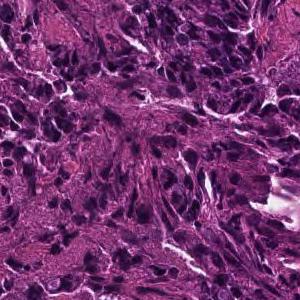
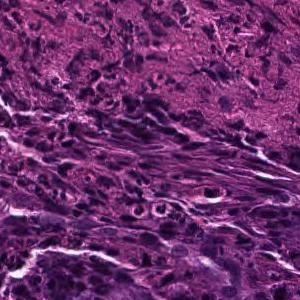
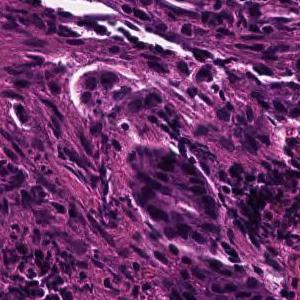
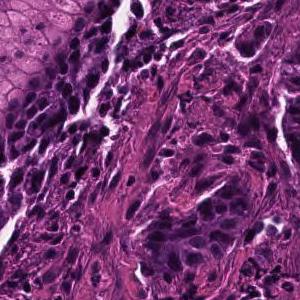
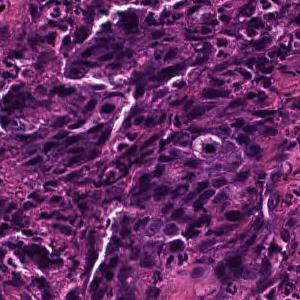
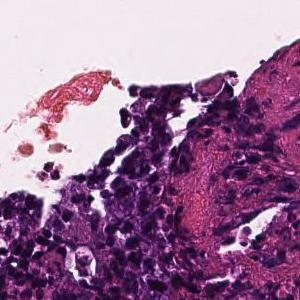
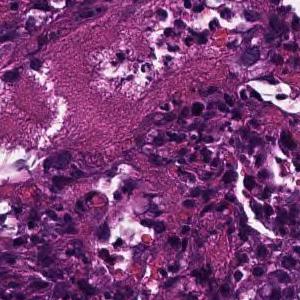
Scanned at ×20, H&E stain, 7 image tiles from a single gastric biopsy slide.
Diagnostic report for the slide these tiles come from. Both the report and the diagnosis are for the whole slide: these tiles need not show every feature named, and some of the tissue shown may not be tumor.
Tumor tissue consisting of medium-sized, cord-like or irregular glandular infiltration is observed in the superficial epithelium. Poorly differentiated adenocarcinoma, non-solid type or moderately differentiated tubular adenocarcinoma
Histologic type: Moderately to poorly differentiated adenocarcinoma.
The non-solid type named here is a Japanese Classification of Gastric Carcinoma category.
